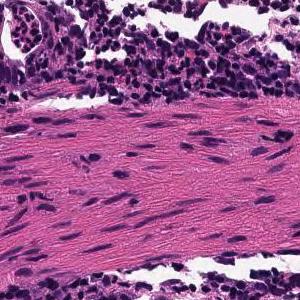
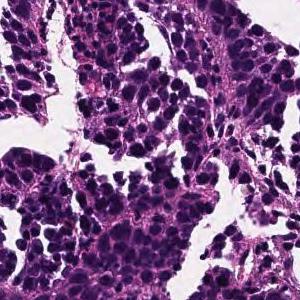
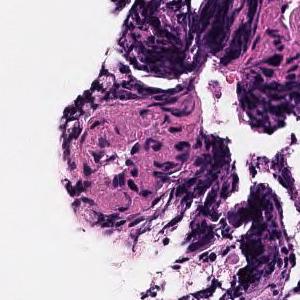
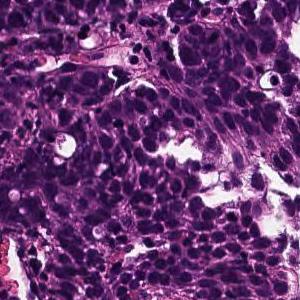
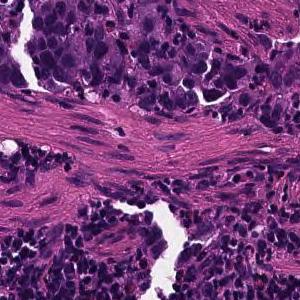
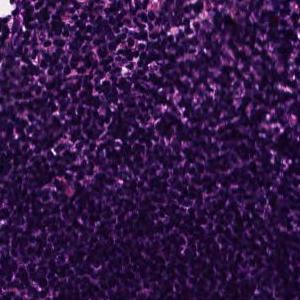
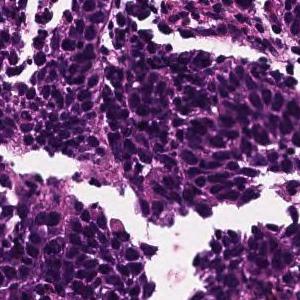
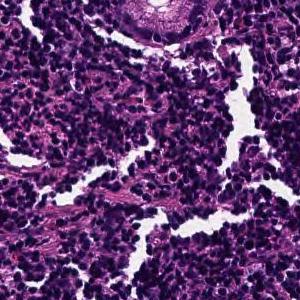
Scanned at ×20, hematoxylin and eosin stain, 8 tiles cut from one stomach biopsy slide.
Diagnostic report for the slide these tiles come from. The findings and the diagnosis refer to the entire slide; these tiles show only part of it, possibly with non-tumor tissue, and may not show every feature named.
Tumor tissue consisting of cord-like or small, irregular glandular ducts fused and infiltrated is observed in the superficial epithelium. Poorly differentiated adenocarcinoma, non-solid type
"Non-solid type" is a category of the Japanese Classification of Gastric Carcinoma.
